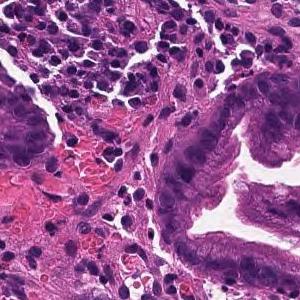
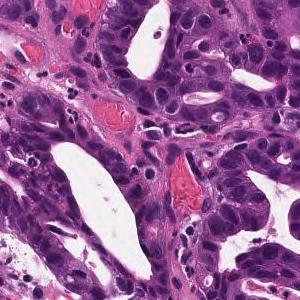
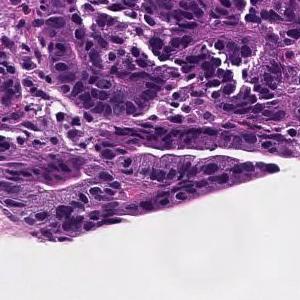
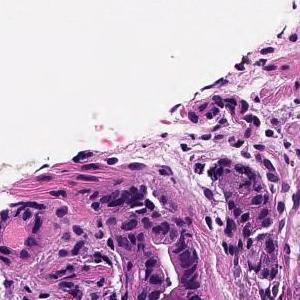
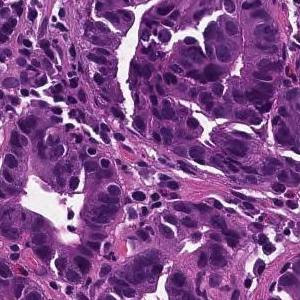
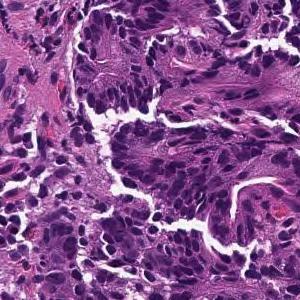
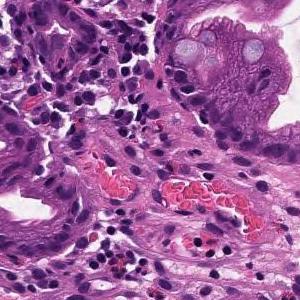
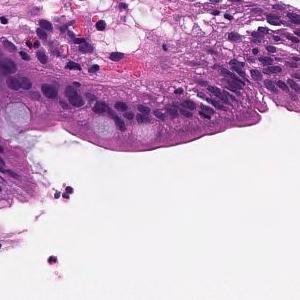
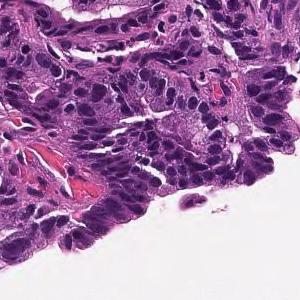
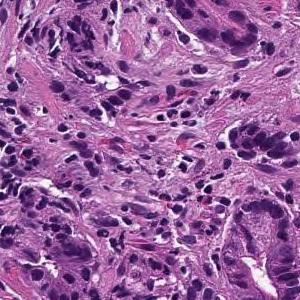
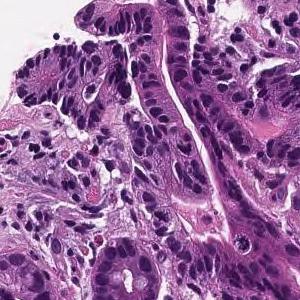
Hematoxylin and eosin stain, 11 image tiles from a single gastric biopsy slide, 300 × 300 pixels each.
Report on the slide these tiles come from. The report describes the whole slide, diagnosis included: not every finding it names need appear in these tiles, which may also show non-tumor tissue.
From the superficial epithelium to the muscularis mucosae, tumor tissue consisting of medium-sized and irregular glandular ducts infiltrating is observed. Well differentiated tubular adenocarcinoma
